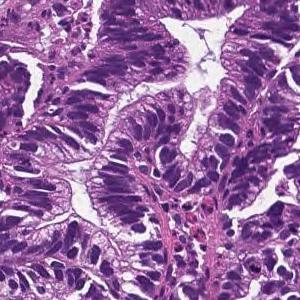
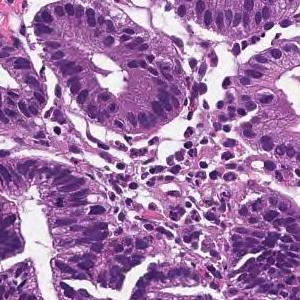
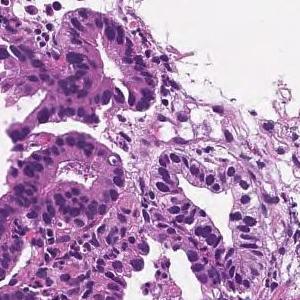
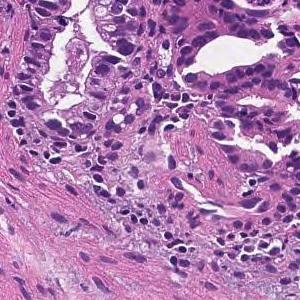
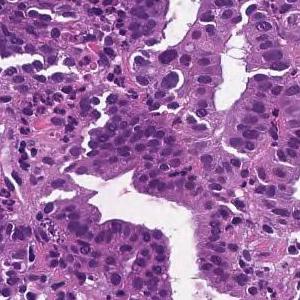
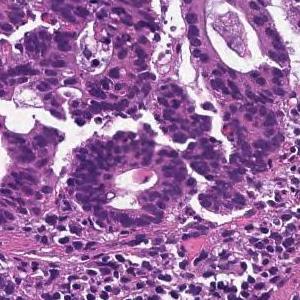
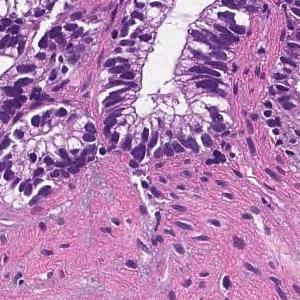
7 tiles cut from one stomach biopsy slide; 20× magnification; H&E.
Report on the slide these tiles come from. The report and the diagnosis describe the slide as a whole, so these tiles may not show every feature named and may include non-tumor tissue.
From the superficial epithelium to the muscularis mucosae, tumor tissue consisting of medium-sized and irregular glandular ducts infiltrating is observed. Well differentiated tubular adenocarcinoma
